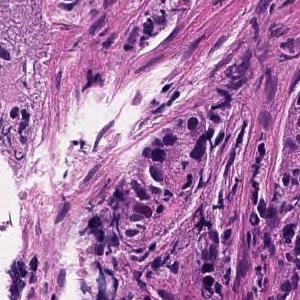
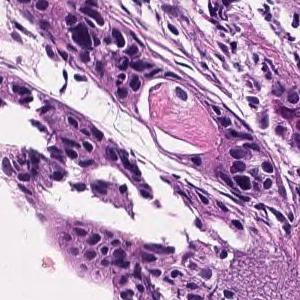
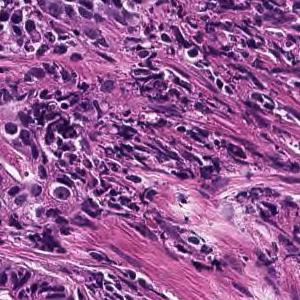
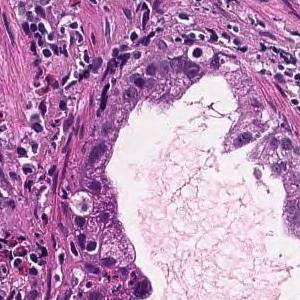
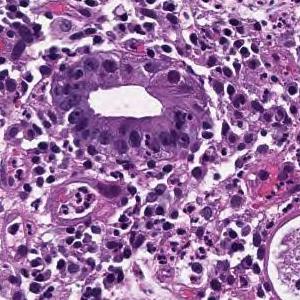
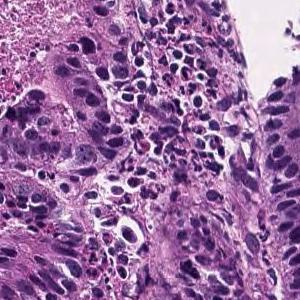
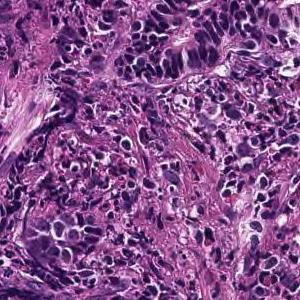
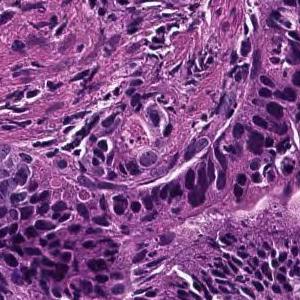
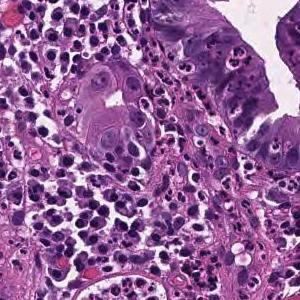
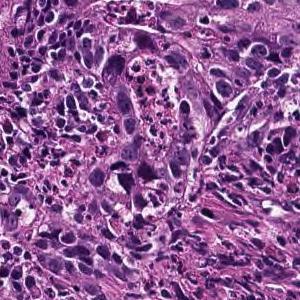
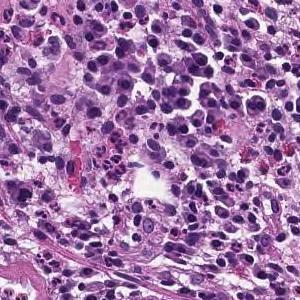
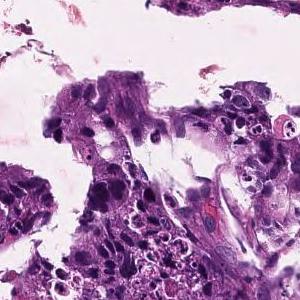
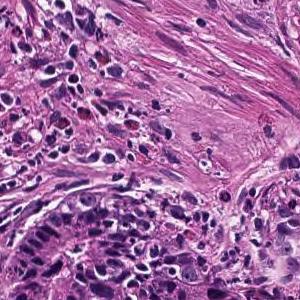
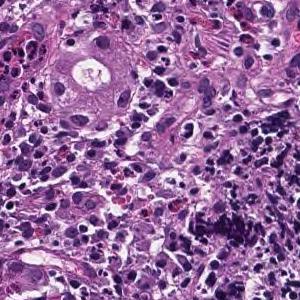
14 tiles cut from one stomach biopsy slide; 300×300 px each; H&E; scanned at ×20.
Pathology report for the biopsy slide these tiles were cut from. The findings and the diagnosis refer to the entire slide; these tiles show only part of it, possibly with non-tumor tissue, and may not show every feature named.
On the superficial epithelium, tumor tissue consisting of large, irregular glandular ducts partially fused and infiltrated is observed. Well to moderately differentiated tubular adenocarcinoma (well differentiated tubular adenocarcinoma, moderately differentiated tubular adenocarcinoma)
Histologic type: Well to moderately differentiated tubular adenocarcinoma.
